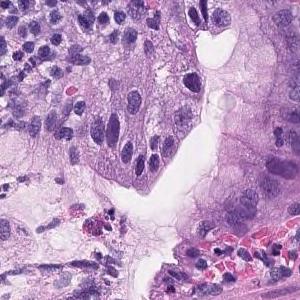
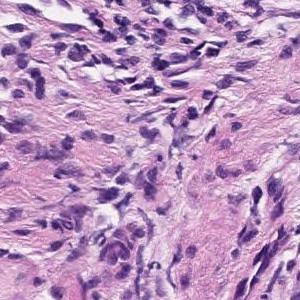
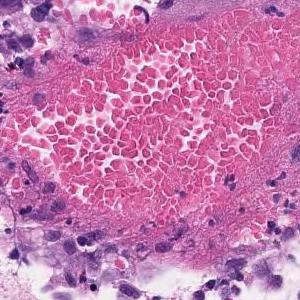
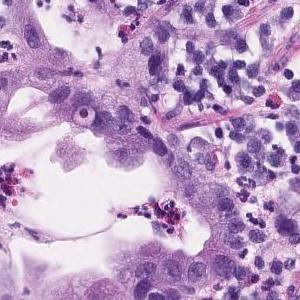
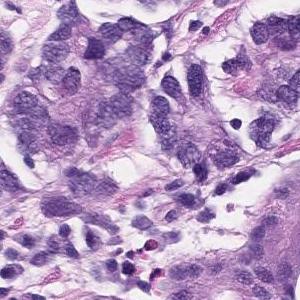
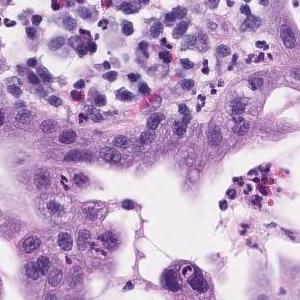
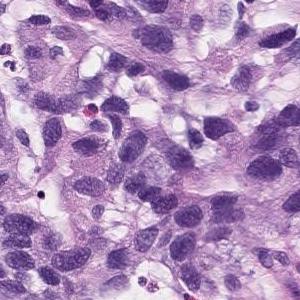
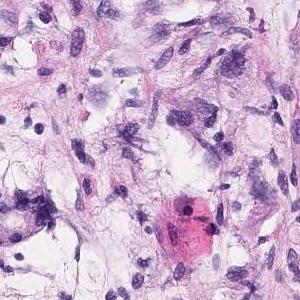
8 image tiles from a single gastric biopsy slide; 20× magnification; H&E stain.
Pathology report for the biopsy slide these tiles were cut from. The report describes the whole slide, diagnosis included: not every finding it names need appear in these tiles, which may also show non-tumor tissue.
Group 5, Adenocarcinoma. Moderately to poorly differentiated adenocarcinoma
